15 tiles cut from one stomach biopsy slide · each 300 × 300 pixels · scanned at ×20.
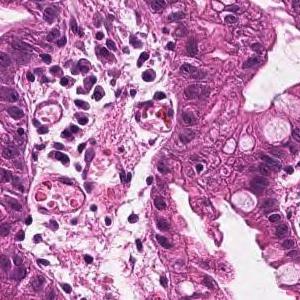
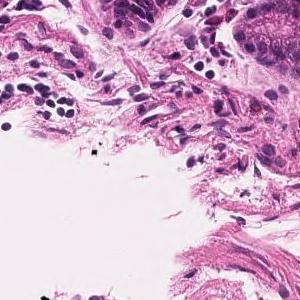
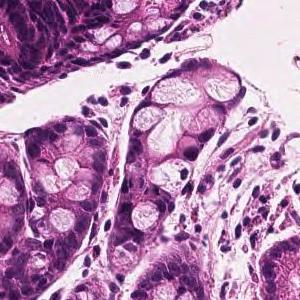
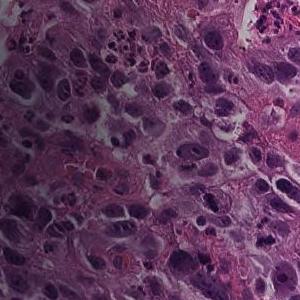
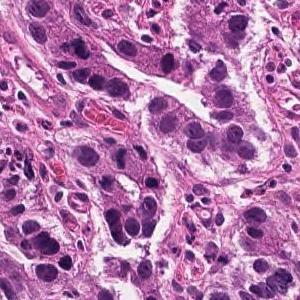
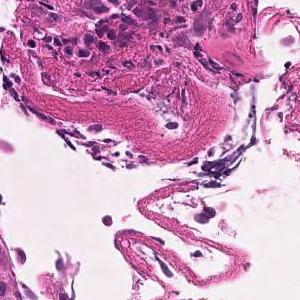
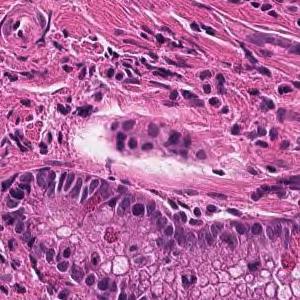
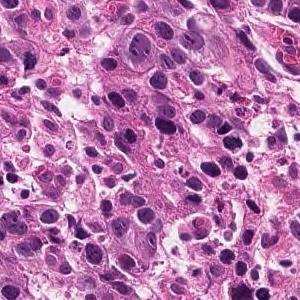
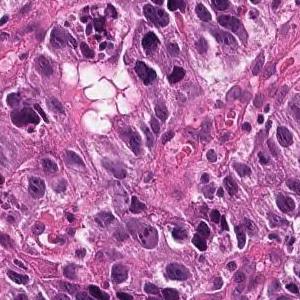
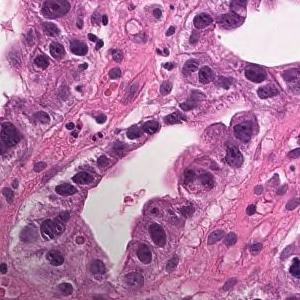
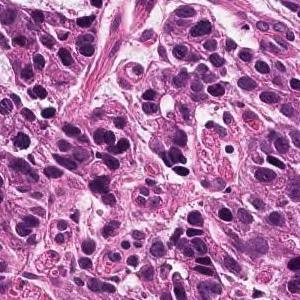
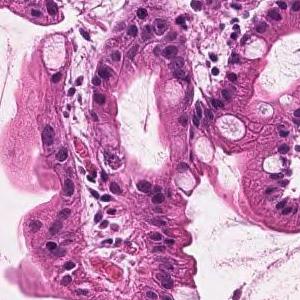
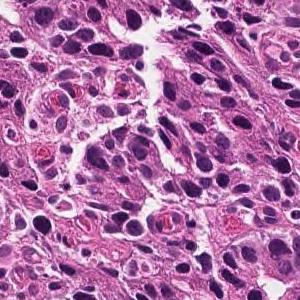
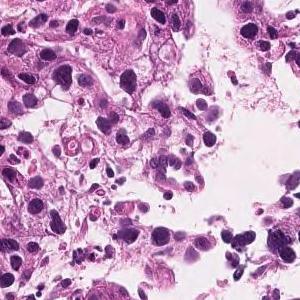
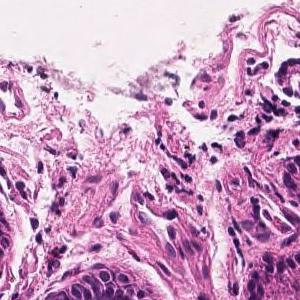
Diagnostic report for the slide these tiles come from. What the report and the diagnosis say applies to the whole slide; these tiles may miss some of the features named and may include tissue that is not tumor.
Tumor tissue consisting of medium-sized, cord-like or irregular glandular infiltration is observed in the superficial epithelium. Poorly differentiated adenocarcinoma, non-solid type or moderately differentiated tubular adenocarcinoma
Histological subtype: Moderately to poorly differentiated adenocarcinoma.
The non-solid type named here is a Japanese Classification of Gastric Carcinoma category.
